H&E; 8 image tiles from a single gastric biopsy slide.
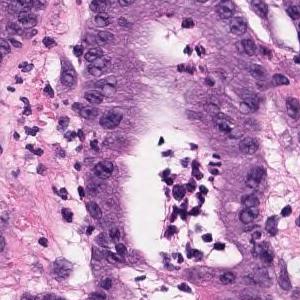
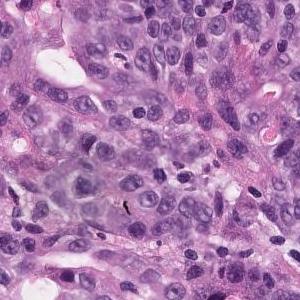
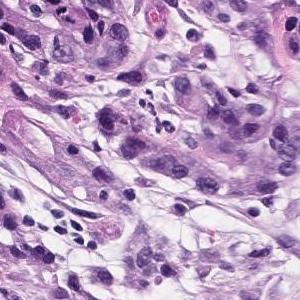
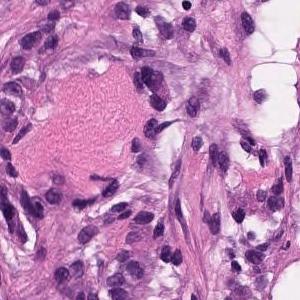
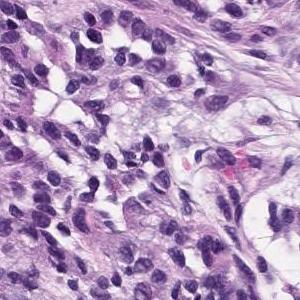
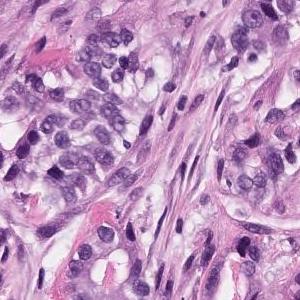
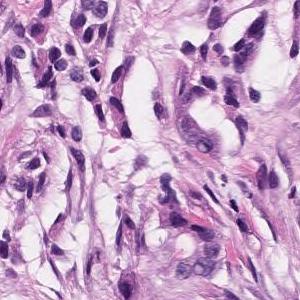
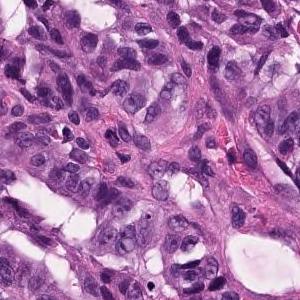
Report on the slide these tiles come from. Both the report and the diagnosis are for the whole slide: these tiles need not show every feature named, and some of the tissue shown may not be tumor.
In the superficial epithelium, tumor tissue that invades by forming medium-sized to small, irregular ducts is observed. Moderately differentiated adenocarcinoma.
Histological subtype: Moderately differentiated tubular adenocarcinoma.
